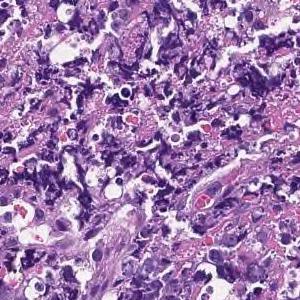
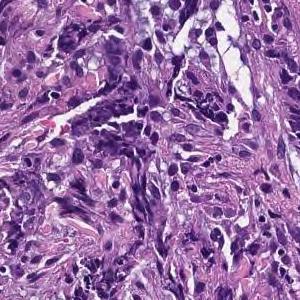
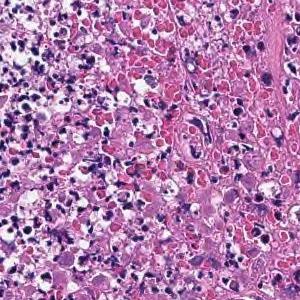
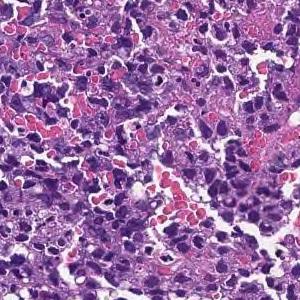
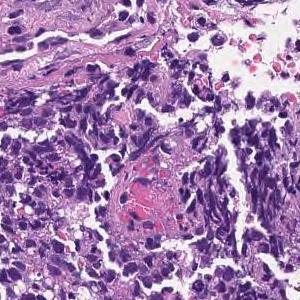
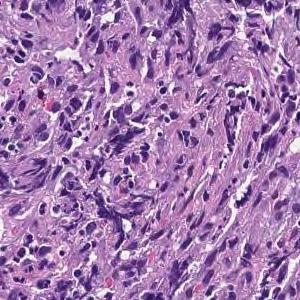
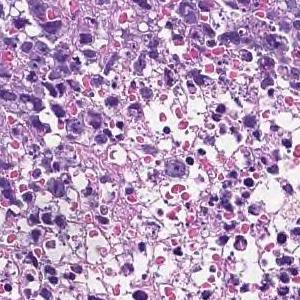
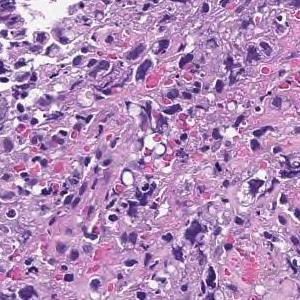
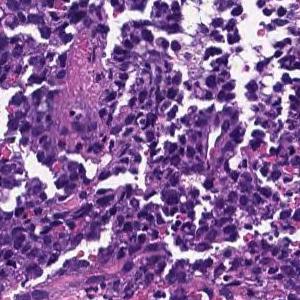
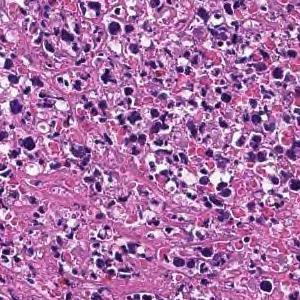
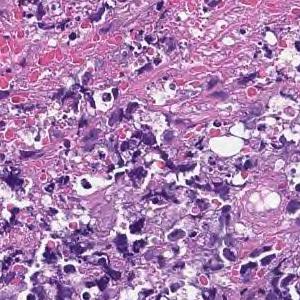
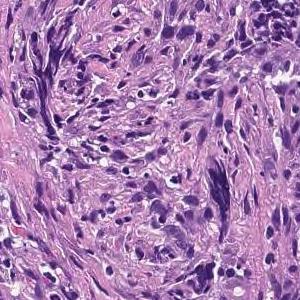
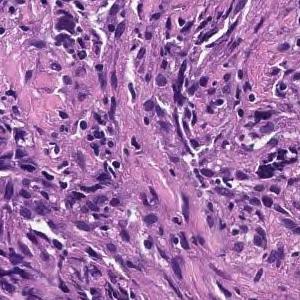
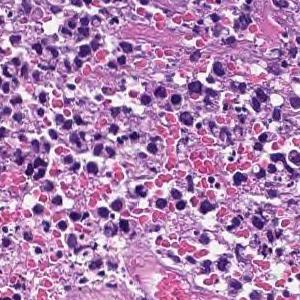
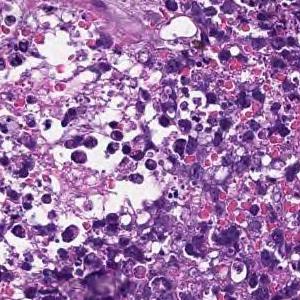
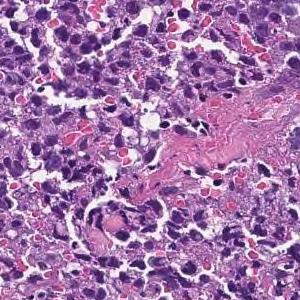
16 patches cut from one gastric biopsy slide · 300×300 px each · 20× magnification · hematoxylin and eosin stain.
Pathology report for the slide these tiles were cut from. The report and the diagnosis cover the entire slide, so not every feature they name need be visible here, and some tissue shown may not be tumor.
Most are composed of coagulative necrotic tissue, but some show a large sheet-like shape, and some show tumor tissue infiltrating with a small cord-like structure. Poorly differentiated adenocarcinoma, solid-type
Histologic type: Poorly differentiated adenocarcinoma, solid type (Japanese Classification of Gastric Carcinoma). The WHO 2019 equivalent is tubular adenocarcinoma, poorly differentiated.
